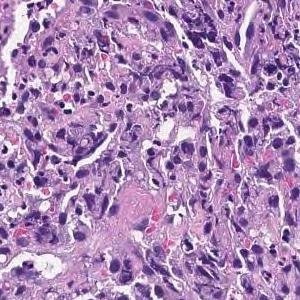
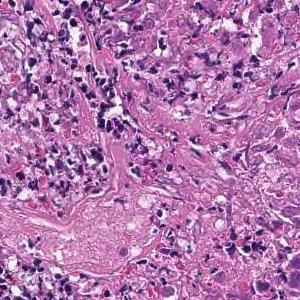
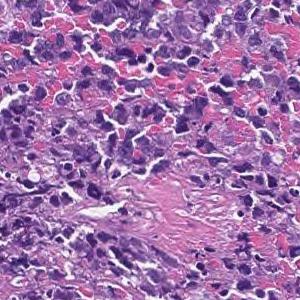
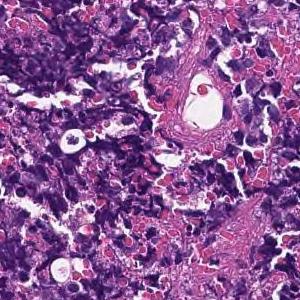
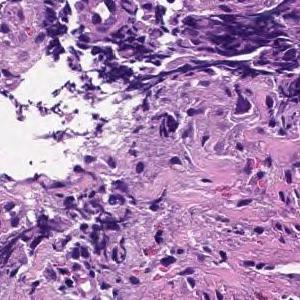
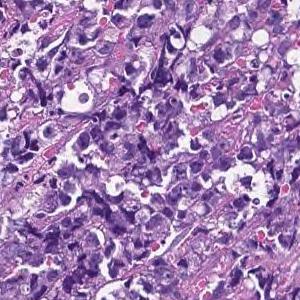
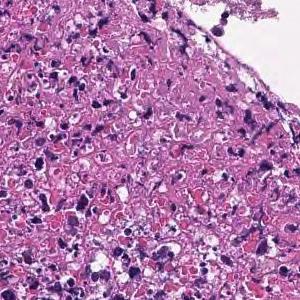
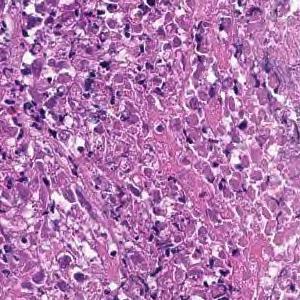
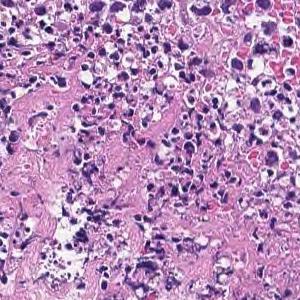
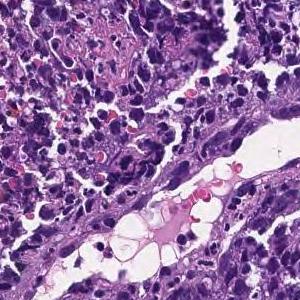
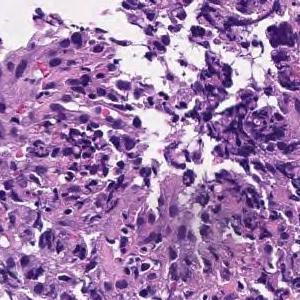
H&E · scanned at ×20 · 11 image tiles from a single gastric biopsy slide · 300×300 px each.
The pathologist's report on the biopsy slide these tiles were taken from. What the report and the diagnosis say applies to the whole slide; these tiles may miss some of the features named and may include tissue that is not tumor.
Most are composed of coagulative necrotic tissue, but some show a large sheet-like shape, and some show tumor tissue infiltrating with a small cord-like structure. Poorly differentiated adenocarcinoma, solid-type
Tumor subtype: poorly differentiated adenocarcinoma, solid type (Japanese Classification of Gastric Carcinoma). The WHO 2019 equivalent is tubular adenocarcinoma, poorly differentiated.
